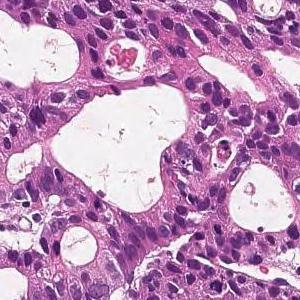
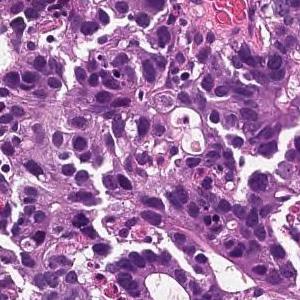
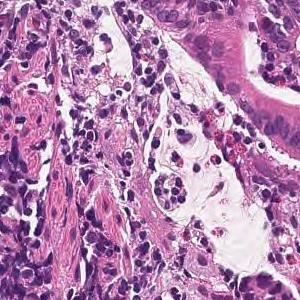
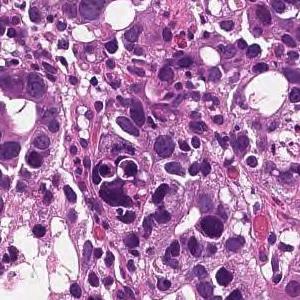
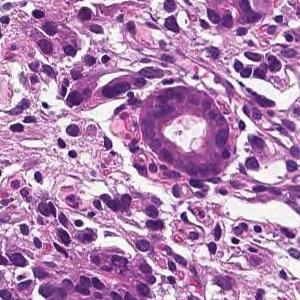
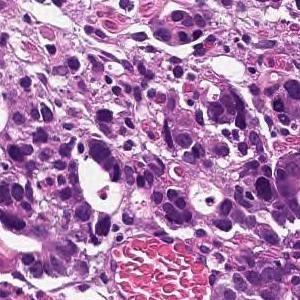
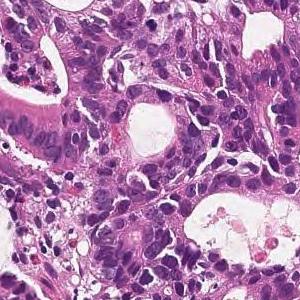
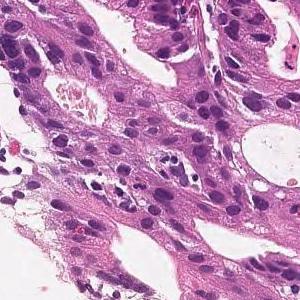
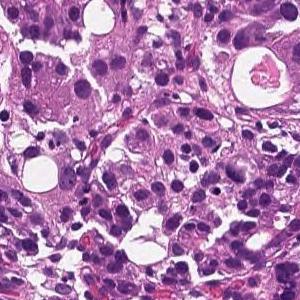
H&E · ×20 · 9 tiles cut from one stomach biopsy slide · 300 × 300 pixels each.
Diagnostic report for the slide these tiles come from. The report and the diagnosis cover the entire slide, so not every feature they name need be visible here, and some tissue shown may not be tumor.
On the superficial epithelium, tumor tissue is found in which medium-sized irregular gland ducts fuse with each other and infiltrate. moderately differentiated tubular adenocarcinoma
